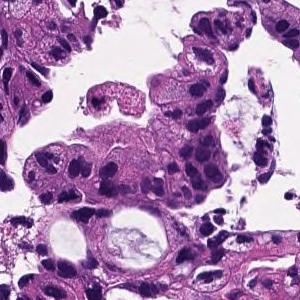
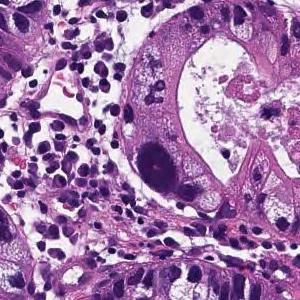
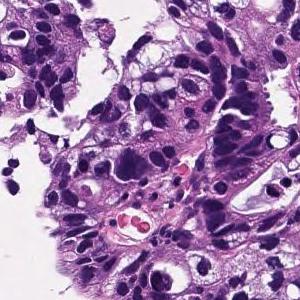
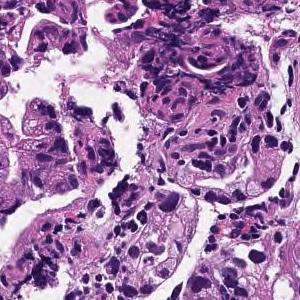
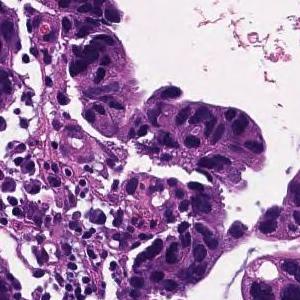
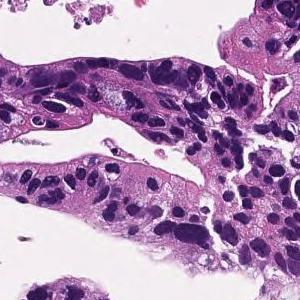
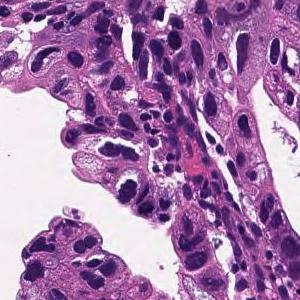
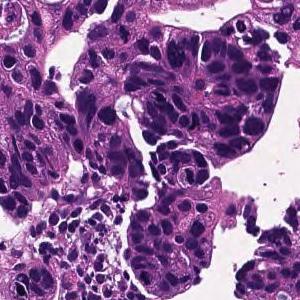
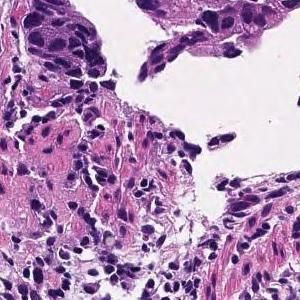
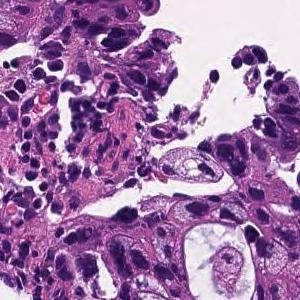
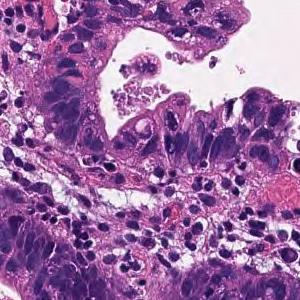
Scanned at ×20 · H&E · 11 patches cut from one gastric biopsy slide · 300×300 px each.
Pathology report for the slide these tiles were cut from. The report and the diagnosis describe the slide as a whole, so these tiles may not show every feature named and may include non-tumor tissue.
In the superficial epithelium, tumor tissue that invades by forming medium-sized to small, irregular ducts is observed. moderately differentiated tubular adenocarcinoma.
